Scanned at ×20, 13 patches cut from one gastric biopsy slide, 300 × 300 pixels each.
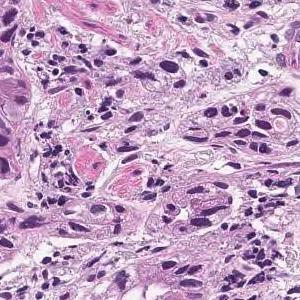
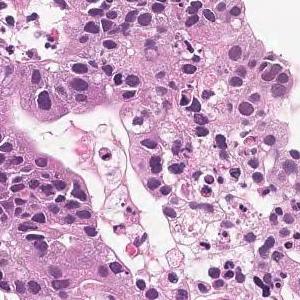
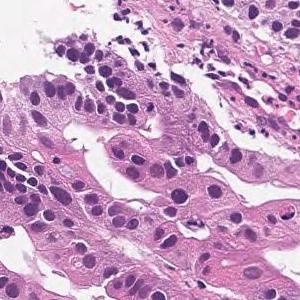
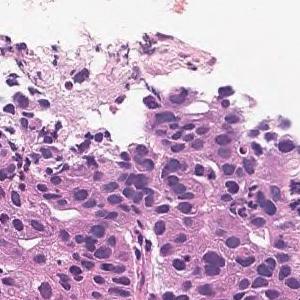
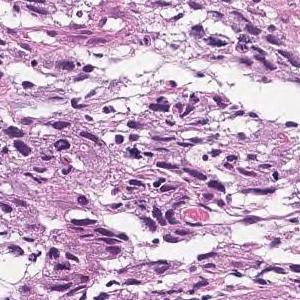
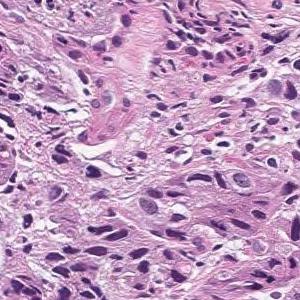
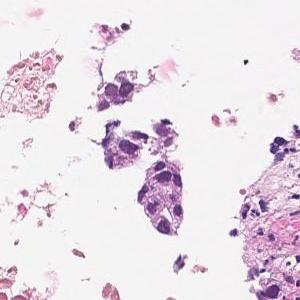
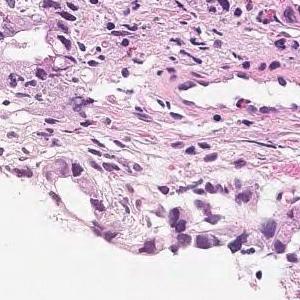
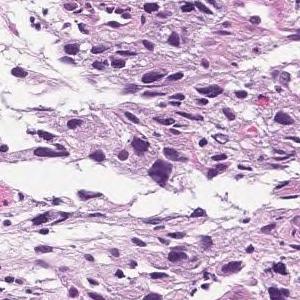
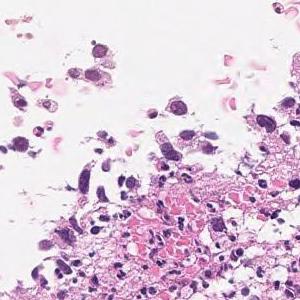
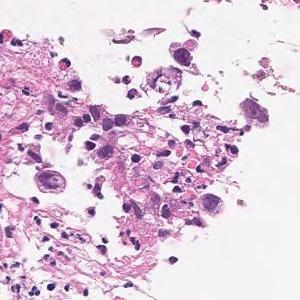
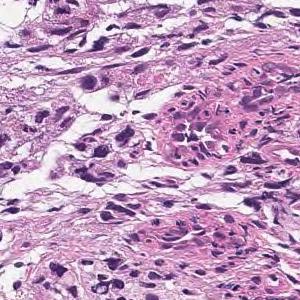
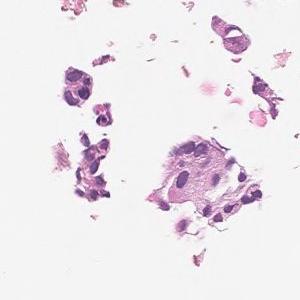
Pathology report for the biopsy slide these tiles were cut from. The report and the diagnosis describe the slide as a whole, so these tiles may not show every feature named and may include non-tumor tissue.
Tumor tissue that grows by forming gland ducts from the surface layer to the submucosa is observed. moderately differentiated tubular adenocarcinoma
